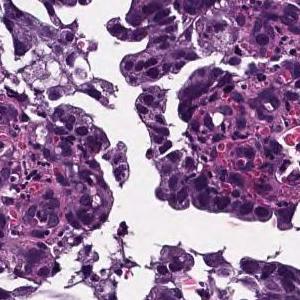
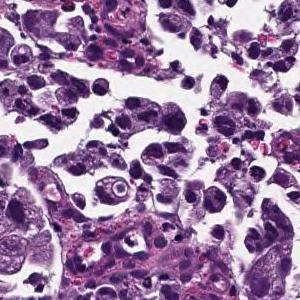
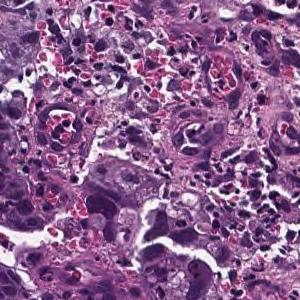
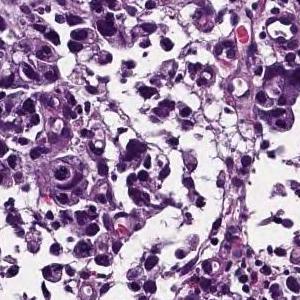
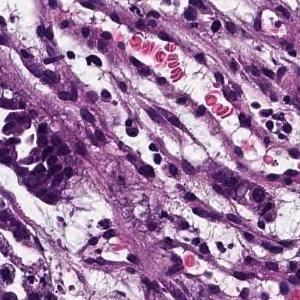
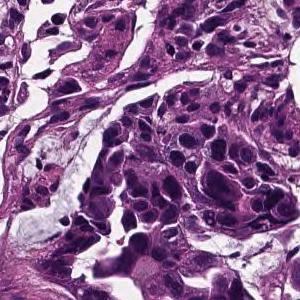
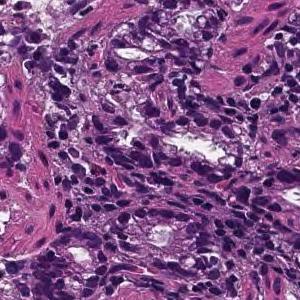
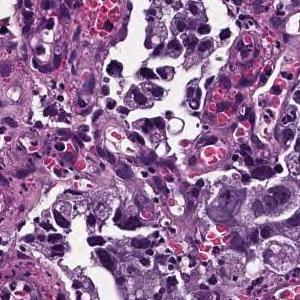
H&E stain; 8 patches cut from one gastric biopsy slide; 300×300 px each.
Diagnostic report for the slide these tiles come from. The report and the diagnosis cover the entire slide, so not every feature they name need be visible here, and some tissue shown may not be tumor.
Medium to small, irregular glandular ducts are formed in the superficial epithelium, and in some cases, the glandular ducts are fused to show solid alveolar lesions and infiltrating tumor tissue is observed. Moderately to poorly differentiated adenocarcinoma.
